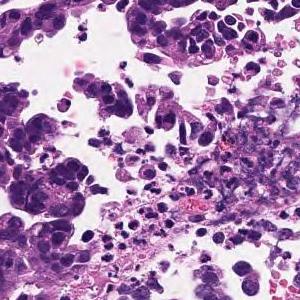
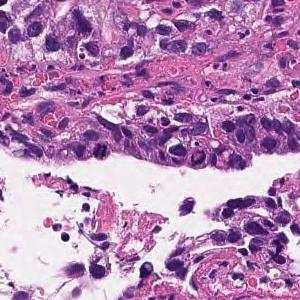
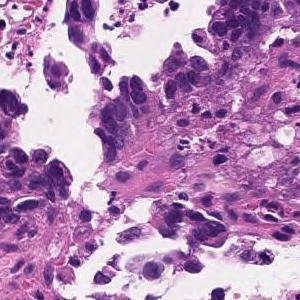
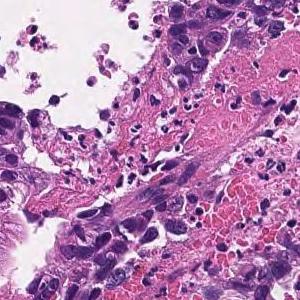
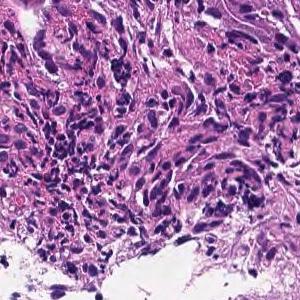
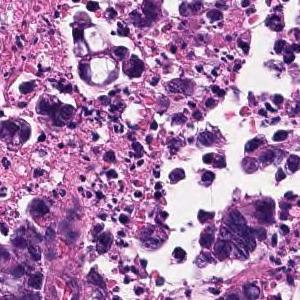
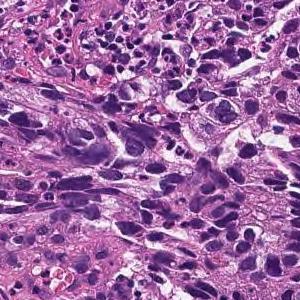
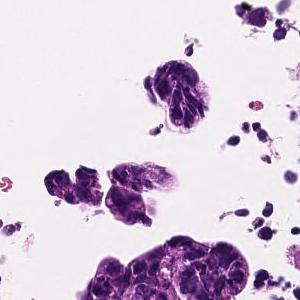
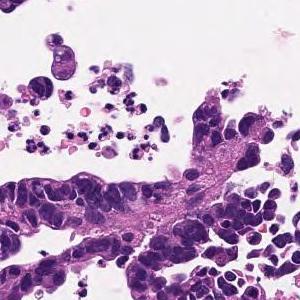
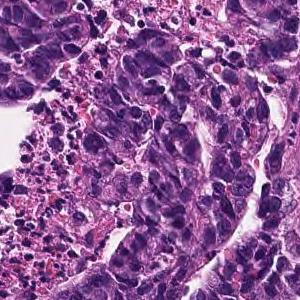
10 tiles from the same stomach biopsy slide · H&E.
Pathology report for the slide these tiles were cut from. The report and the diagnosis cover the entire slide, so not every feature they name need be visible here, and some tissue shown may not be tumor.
In the superficial epithelium, tumor tissue that invades by forming medium-sized to small, irregular ducts is observed. Moderately differentiated adenocarcinoma.
Histologic type: Moderately differentiated tubular adenocarcinoma.
